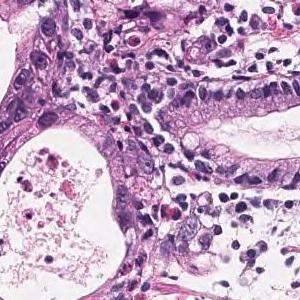
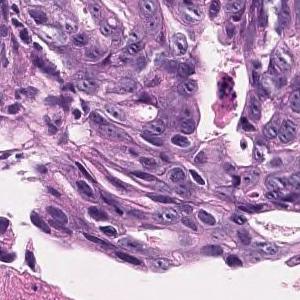
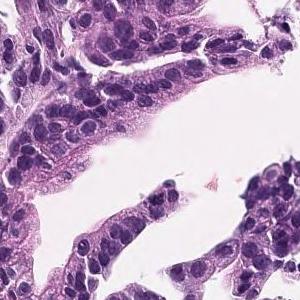
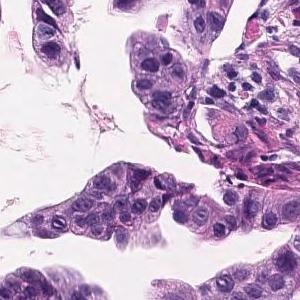
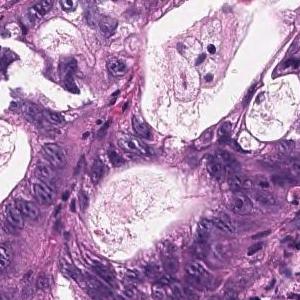
5 tiles cut from one stomach biopsy slide · 300 × 300 pixels each · ×20 · H&E stain.
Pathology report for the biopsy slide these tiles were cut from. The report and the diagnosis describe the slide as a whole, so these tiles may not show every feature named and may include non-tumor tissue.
Tumor cells are large, highly columnar, large club-shaped nuclei, and are associated with chromatin aggregation. Papillary adenocarcinoma.
